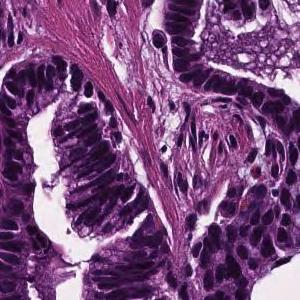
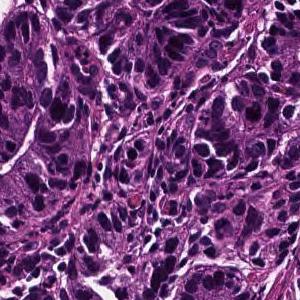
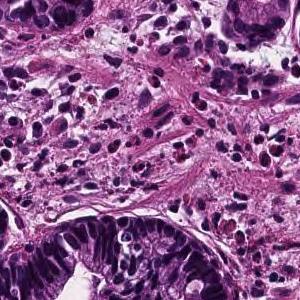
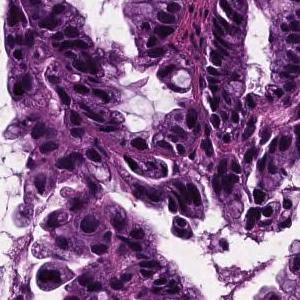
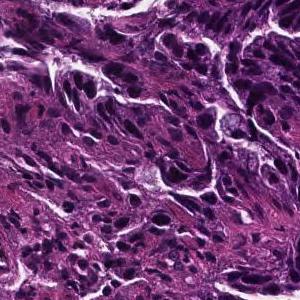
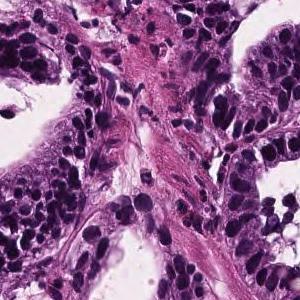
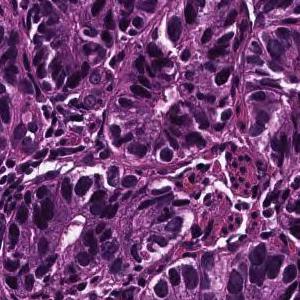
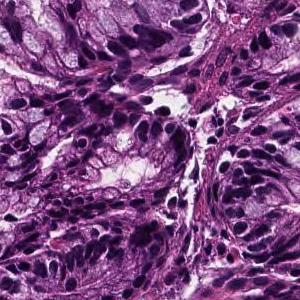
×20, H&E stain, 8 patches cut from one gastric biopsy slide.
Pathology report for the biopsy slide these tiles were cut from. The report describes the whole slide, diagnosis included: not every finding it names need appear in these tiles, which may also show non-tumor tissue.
In the superficial epithelium, tumor tissue that invades by forming medium-sized to small, irregular ducts is observed. Well differentiated tubular adenocarcinoma.
